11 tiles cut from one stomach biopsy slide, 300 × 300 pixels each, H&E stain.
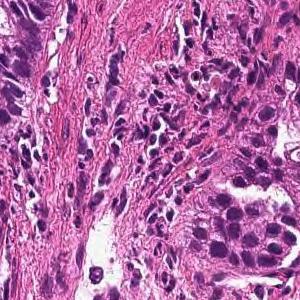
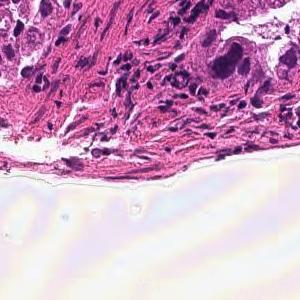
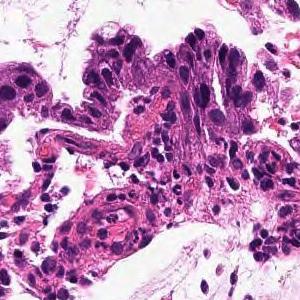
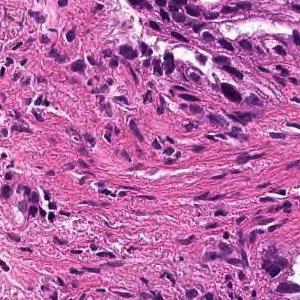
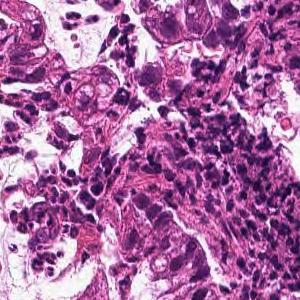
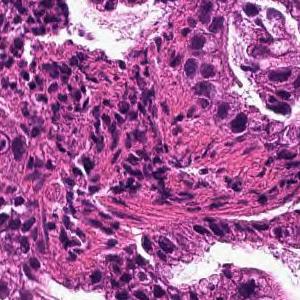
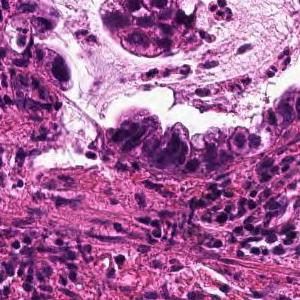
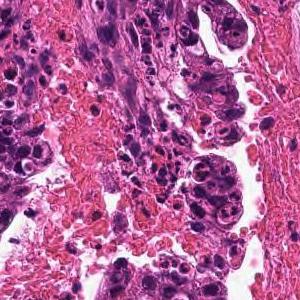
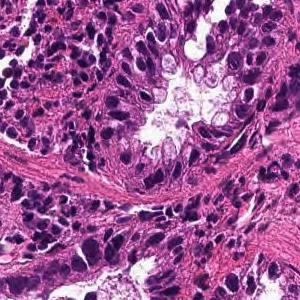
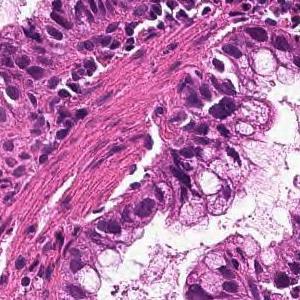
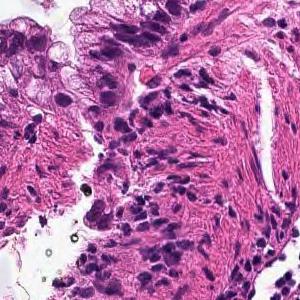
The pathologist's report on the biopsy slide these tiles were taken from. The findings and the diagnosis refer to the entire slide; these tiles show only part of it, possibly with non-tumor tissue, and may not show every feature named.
From the superficial epithelium to the muscularis mucosae, tumor tissue infiltrating by forming medium-sized irregular gland ducts is observed. Well differentiated tubular adenocarcinoma
